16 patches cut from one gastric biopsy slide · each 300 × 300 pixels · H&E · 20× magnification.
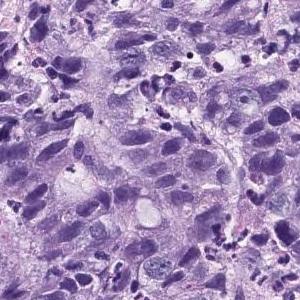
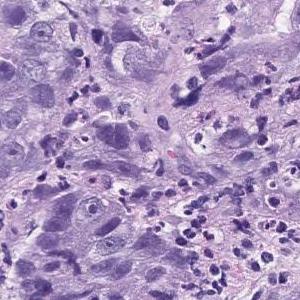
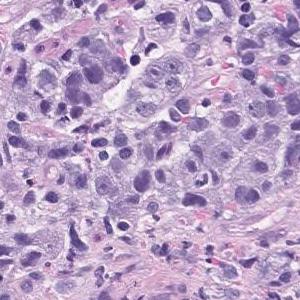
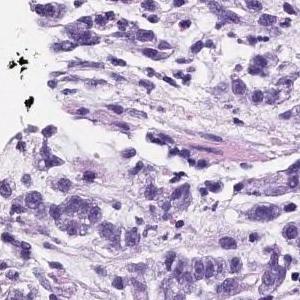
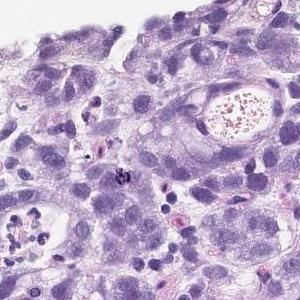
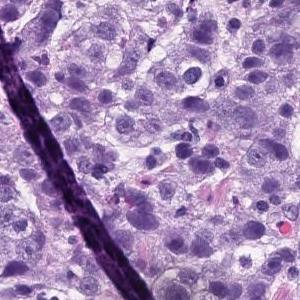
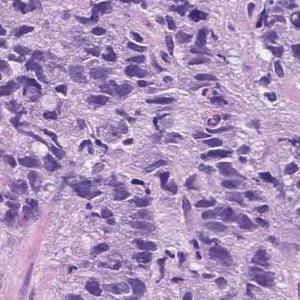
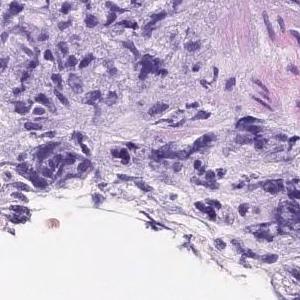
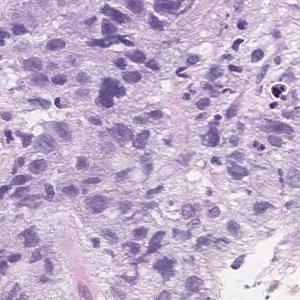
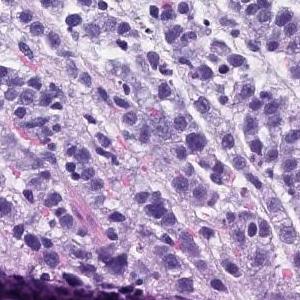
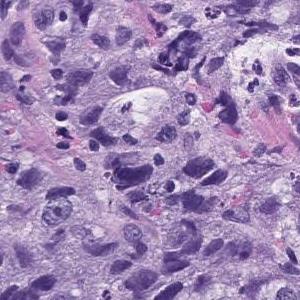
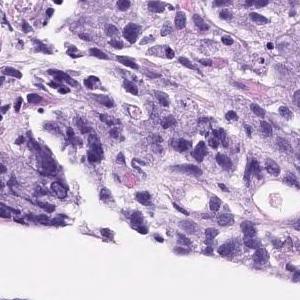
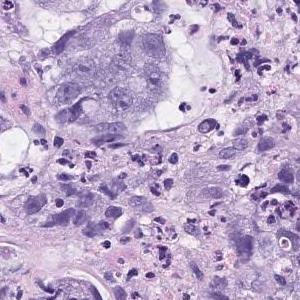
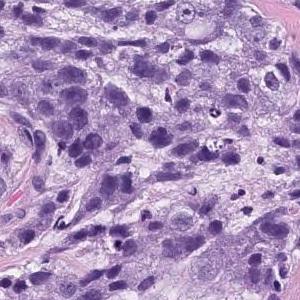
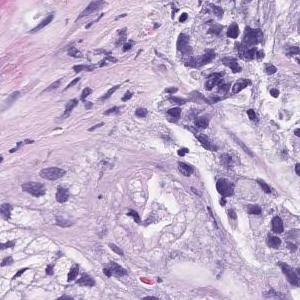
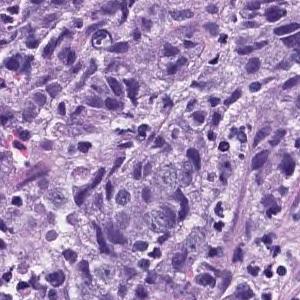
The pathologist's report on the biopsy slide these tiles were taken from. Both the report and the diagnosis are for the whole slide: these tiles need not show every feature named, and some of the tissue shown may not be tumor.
Atypical l cells with atypical nuclei forming solid vesicles or small irregular atypical ducts that proliferate in a complex manner. poorly differentiated adenocarcinoma, solid type, moderately differentiated tubular adenocarcinoma
The term "solid type" comes from the Japanese Classification of Gastric Carcinoma; the WHO 2019 equivalent is tubular adenocarcinoma, poorly differentiated.
